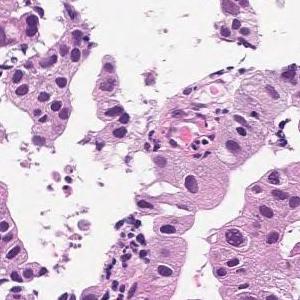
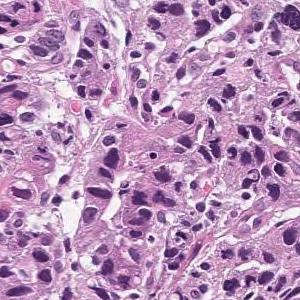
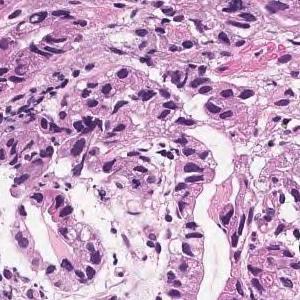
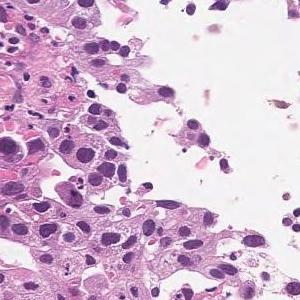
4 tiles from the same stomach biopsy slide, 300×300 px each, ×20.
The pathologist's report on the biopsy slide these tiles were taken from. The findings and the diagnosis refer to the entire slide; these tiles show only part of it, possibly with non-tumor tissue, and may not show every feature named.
Tumor tissue that grows by forming gland ducts from the surface layer to the submucosa is observed. moderately differentiated tubular adenocarcinoma
